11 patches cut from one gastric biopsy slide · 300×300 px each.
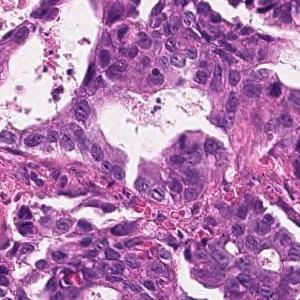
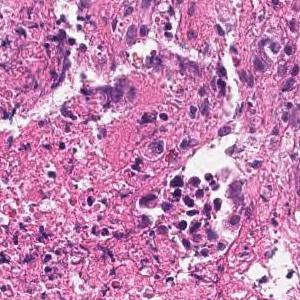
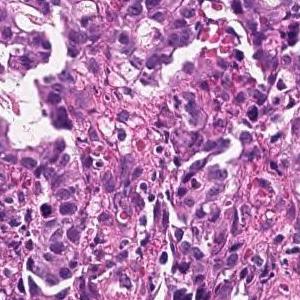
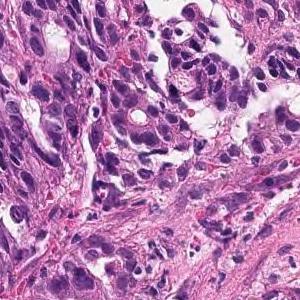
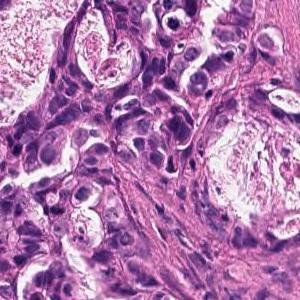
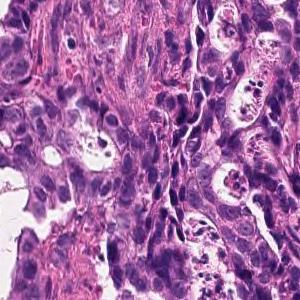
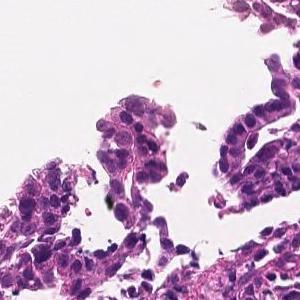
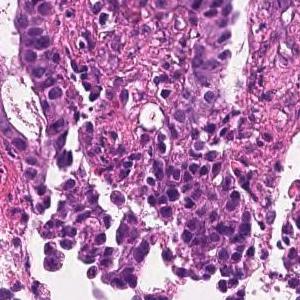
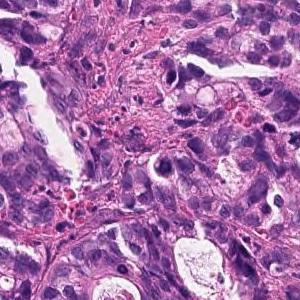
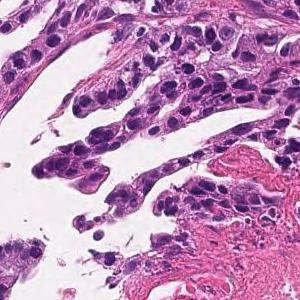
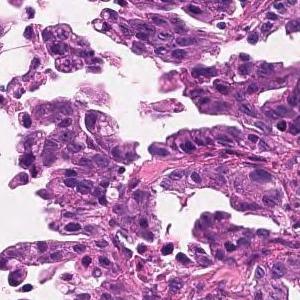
Report on the slide these tiles come from. The report and the diagnosis cover the entire slide, so not every feature they name need be visible here, and some tissue shown may not be tumor.
On the superficial epithelium, tumor tissue consisting of images of small to medium-sized and irregular tubules infiltrating with irregular fusion is observed. moderately differentiated tubular adenocarcinoma
